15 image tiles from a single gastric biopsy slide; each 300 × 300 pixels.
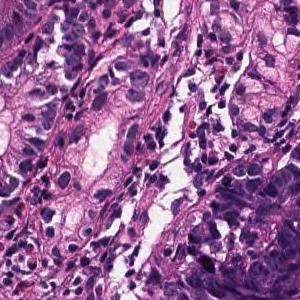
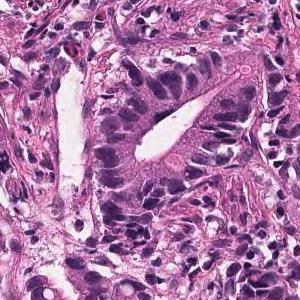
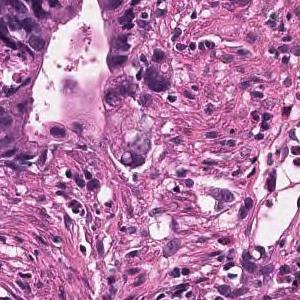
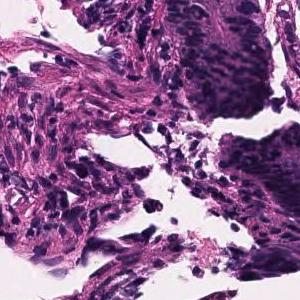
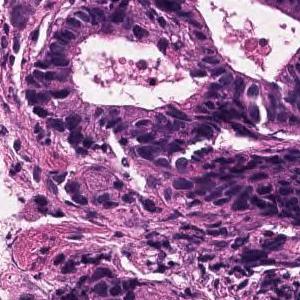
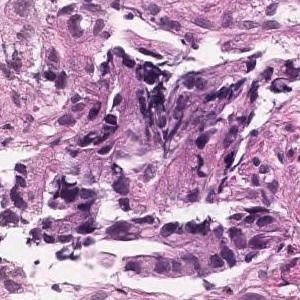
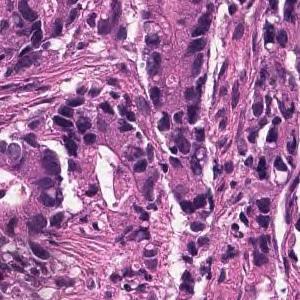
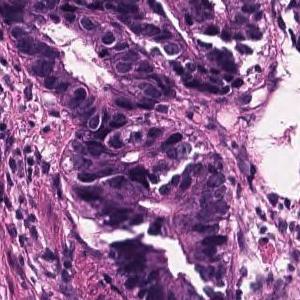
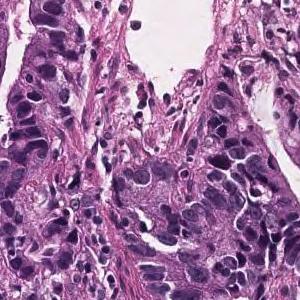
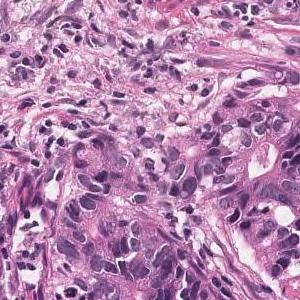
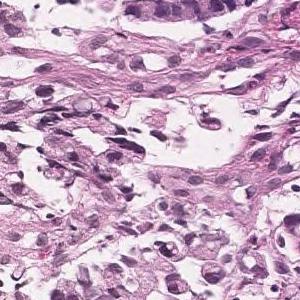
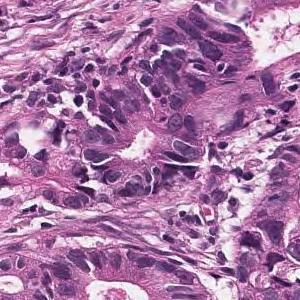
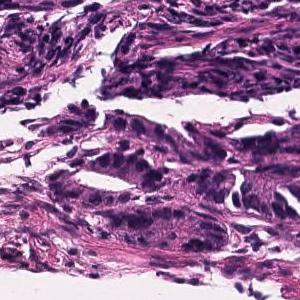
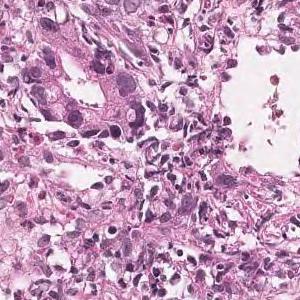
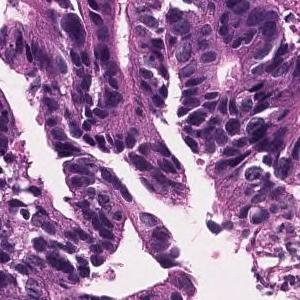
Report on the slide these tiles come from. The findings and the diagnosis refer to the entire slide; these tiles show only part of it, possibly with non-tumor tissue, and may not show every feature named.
In the superficial epithelium, tumor tissue is found in which medium-sized irregular gland ducts fuse with each other and infiltrate. moderately differentiated tubular adenocarcinoma
